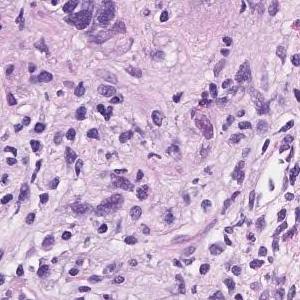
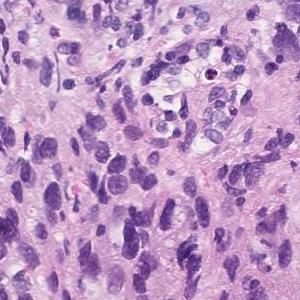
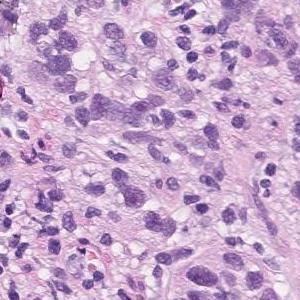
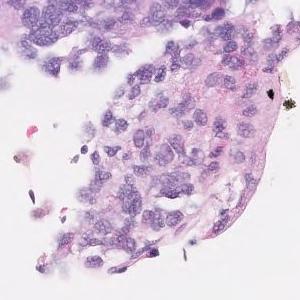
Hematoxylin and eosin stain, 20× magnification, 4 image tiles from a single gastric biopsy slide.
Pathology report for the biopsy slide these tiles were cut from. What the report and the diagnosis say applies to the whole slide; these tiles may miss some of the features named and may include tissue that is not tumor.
Atypical l cells with atypical nuclei under the mucosa growing in isolation and scattered. Poorly differentiated adenocarcinoma (poorly differentiated adenocarcinoma, non-solid type)
Subtype: Poorly differentiated adenocarcinoma, non-solid type.
"Non-solid type" is a category of the Japanese Classification of Gastric Carcinoma.
